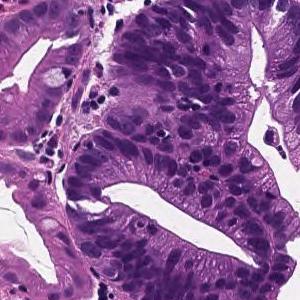
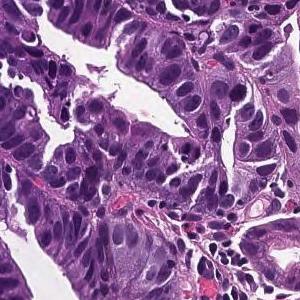
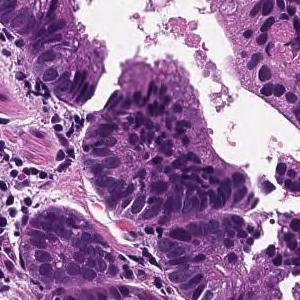
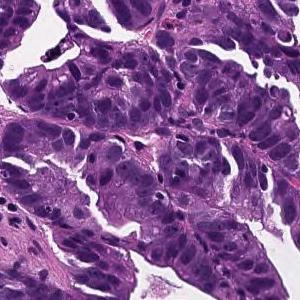
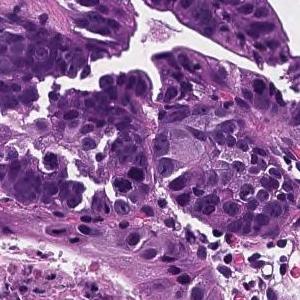
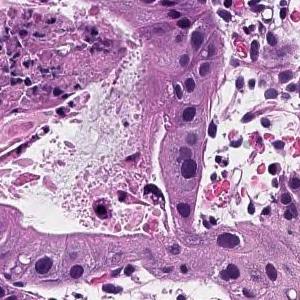
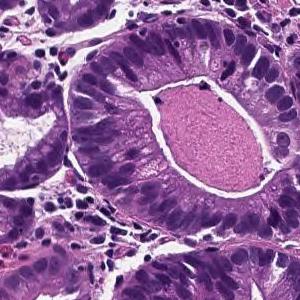
7 tiles cut from one stomach biopsy slide, scanned at ×20, H&E.
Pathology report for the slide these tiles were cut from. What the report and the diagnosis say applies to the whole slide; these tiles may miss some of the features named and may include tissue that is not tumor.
Tumor cells are large, highly columnar, large club-shaped nuclei, and are associated with chromatin aggregation. Papillary adenocarcinoma.
